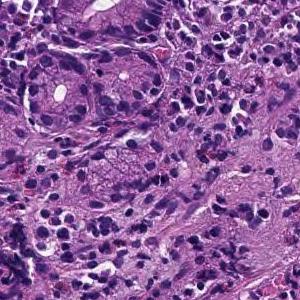
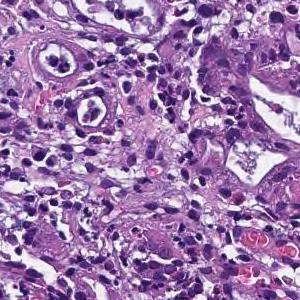
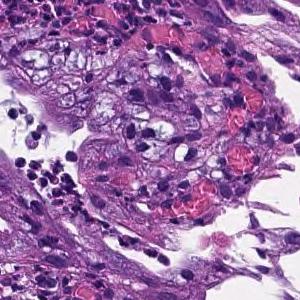
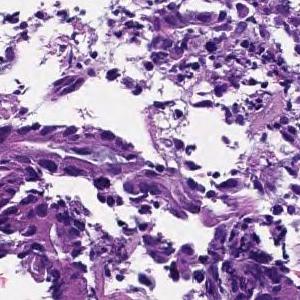
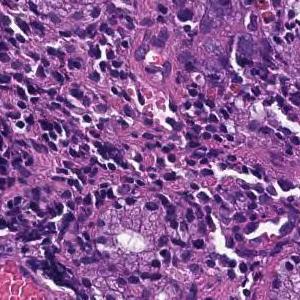
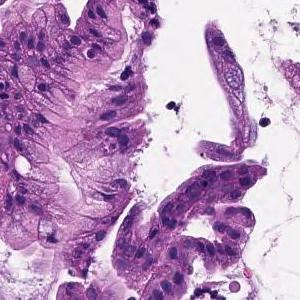
6 patches cut from one gastric biopsy slide · 20× magnification · hematoxylin and eosin stain.
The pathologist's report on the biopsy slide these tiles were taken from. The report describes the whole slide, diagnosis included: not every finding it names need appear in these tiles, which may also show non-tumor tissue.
In the superficial epithelium, tumor tissue that invades by forming medium-sized to small, irregular ducts is observed. moderately differentiated tubular adenocarcinoma.
